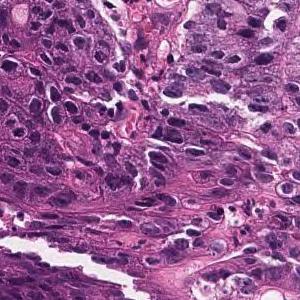
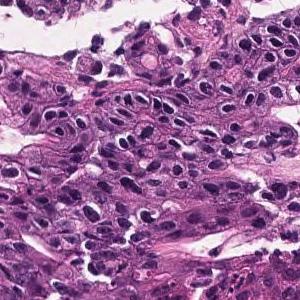
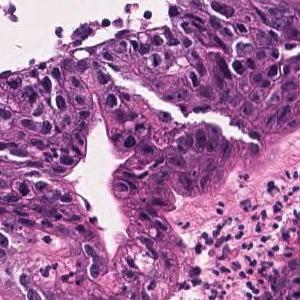
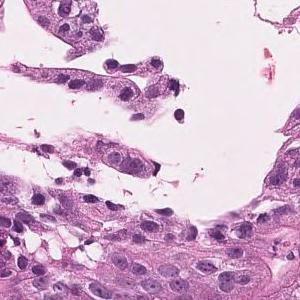
4 patches cut from one gastric biopsy slide, each 300 × 300 pixels, hematoxylin and eosin stain.
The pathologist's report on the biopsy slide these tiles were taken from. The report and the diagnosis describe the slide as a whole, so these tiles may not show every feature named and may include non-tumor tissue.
In the superficial epithelium, tumor tissue that invades by forming medium-sized to small, irregular ducts is observed. Well differentiated tubular adenocarcinoma.
